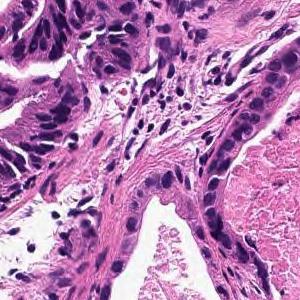
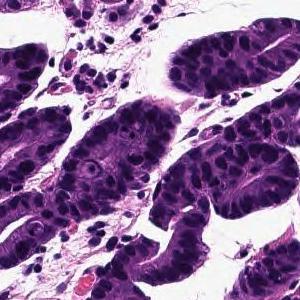
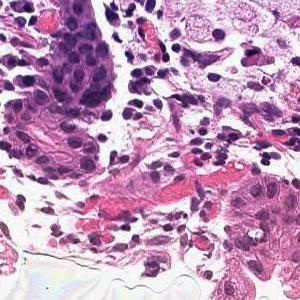
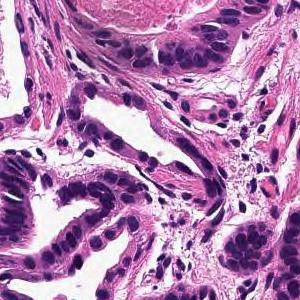
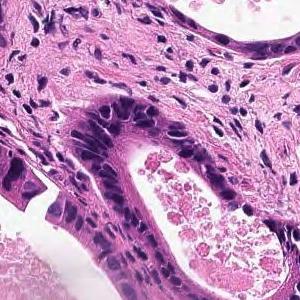
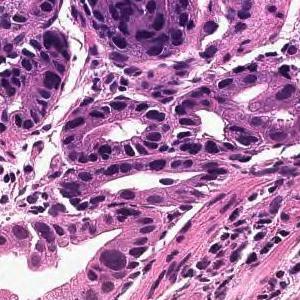
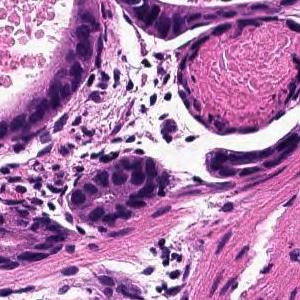
7 tiles from the same stomach biopsy slide, each 300 × 300 pixels.
Report on the slide these tiles come from. Both the report and the diagnosis are for the whole slide: these tiles need not show every feature named, and some of the tissue shown may not be tumor.
From the superficial epithelium to the muscularis mucosae, tumor tissue consisting of medium-sized and irregular glandular ducts infiltrating is observed. Well differentiated tubular adenocarcinoma
